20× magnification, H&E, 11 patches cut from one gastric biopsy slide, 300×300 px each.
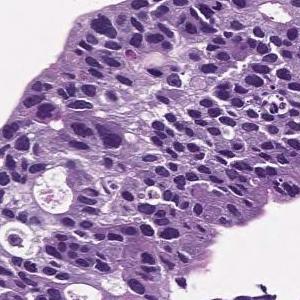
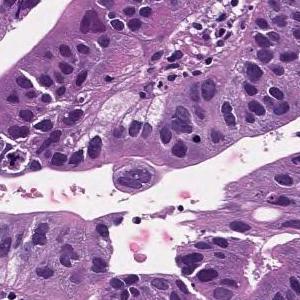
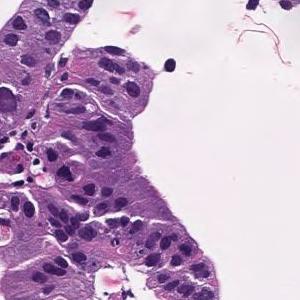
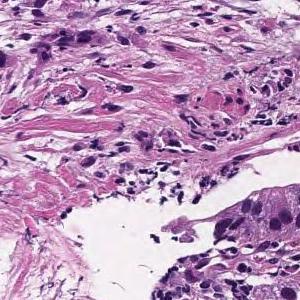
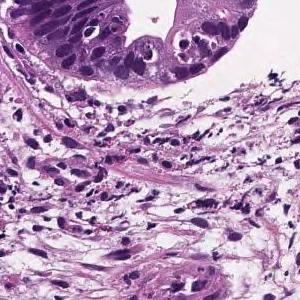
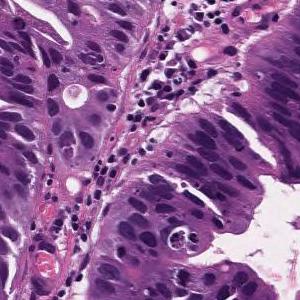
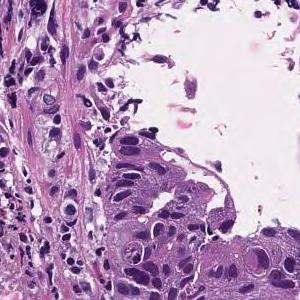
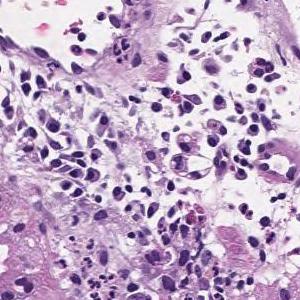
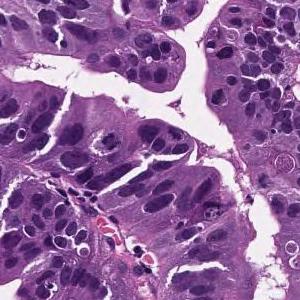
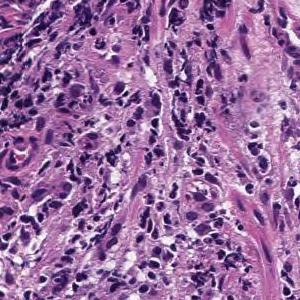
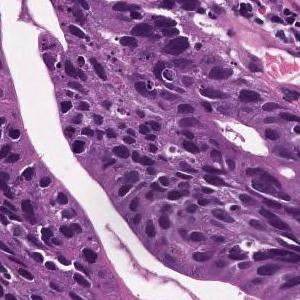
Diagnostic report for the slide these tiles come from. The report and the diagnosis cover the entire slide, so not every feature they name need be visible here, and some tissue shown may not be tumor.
Tumor cells are large, highly columnar, large club-shaped nuclei, and are associated with chromatin aggregation. Papillary adenocarcinoma.
